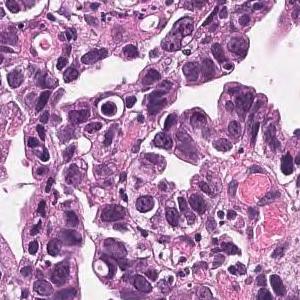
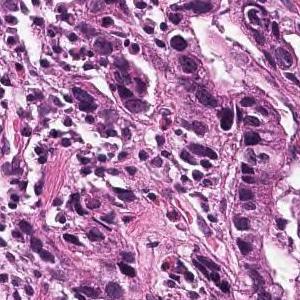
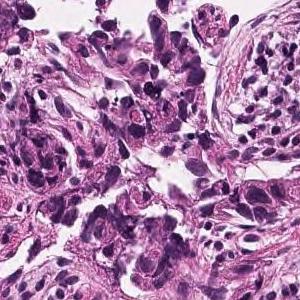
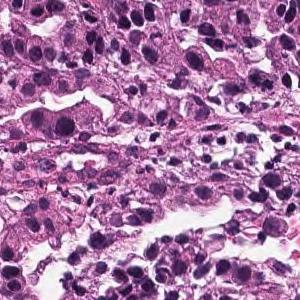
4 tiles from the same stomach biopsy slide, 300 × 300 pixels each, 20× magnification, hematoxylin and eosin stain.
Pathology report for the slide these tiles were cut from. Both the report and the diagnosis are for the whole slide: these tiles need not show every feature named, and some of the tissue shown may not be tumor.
Medium to small, irregular glandular ducts are formed in the superficial epithelium, and in some cases, the glandular ducts are fused to show solid alveolar lesions and infiltrating tumor tissue is observed. Moderately to poorly differentiated adenocarcinoma.
